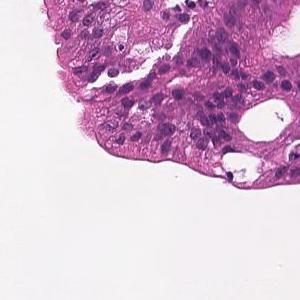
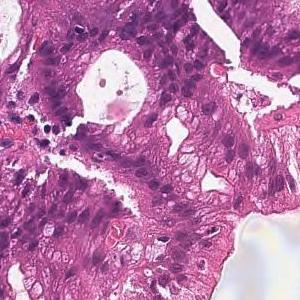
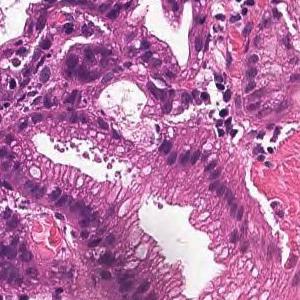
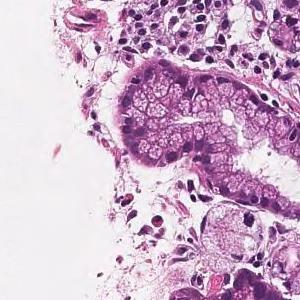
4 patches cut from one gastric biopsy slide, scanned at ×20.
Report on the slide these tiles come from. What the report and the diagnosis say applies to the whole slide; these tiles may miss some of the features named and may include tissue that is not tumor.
In the superficial epithelium, tumor tissue that invades by forming medium-sized to small, irregular ducts is observed. moderately differentiated tubular adenocarcinoma.
